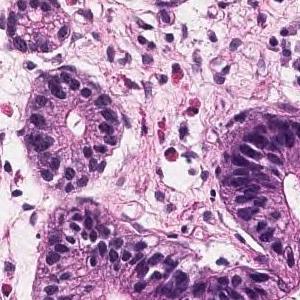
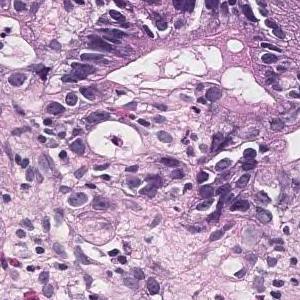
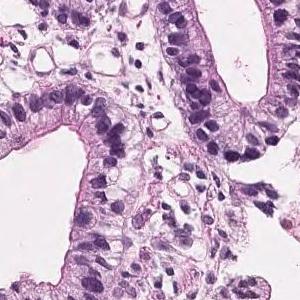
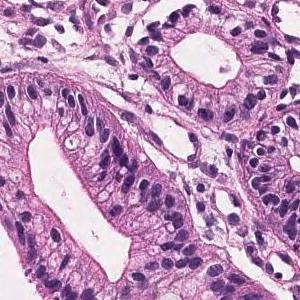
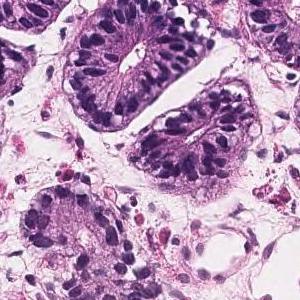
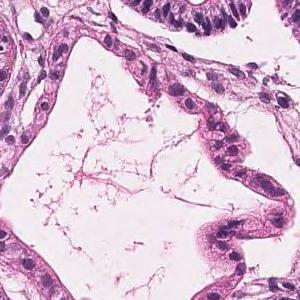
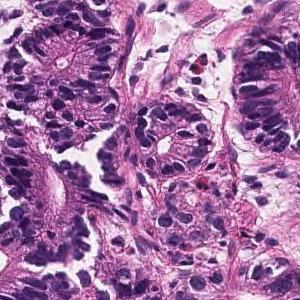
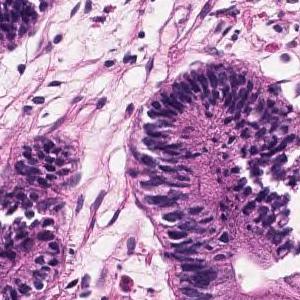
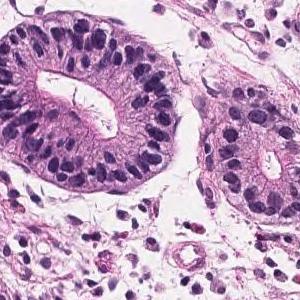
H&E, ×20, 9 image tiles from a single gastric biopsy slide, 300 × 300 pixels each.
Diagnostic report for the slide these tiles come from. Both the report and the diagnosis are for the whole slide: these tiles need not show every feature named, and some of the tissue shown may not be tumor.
Tumor tissue in which medium to small irregular ducts infiltrate and proliferate in the submucosa can be seen in the epithelium. Well differentiated tubular adenocarcinoma
